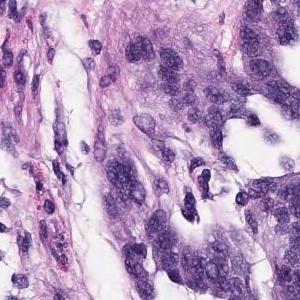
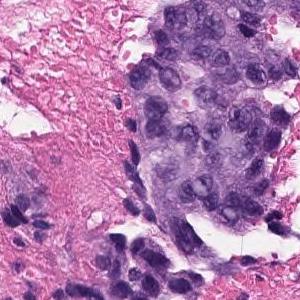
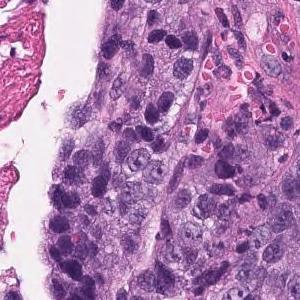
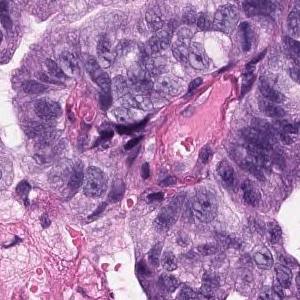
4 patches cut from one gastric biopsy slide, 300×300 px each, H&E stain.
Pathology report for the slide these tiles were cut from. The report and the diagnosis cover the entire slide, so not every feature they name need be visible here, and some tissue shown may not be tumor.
Tumor cells are large, highly columnar, large club-shaped nuclei, and are associated with chromatin aggregation. Papillary adenocarcinoma.
